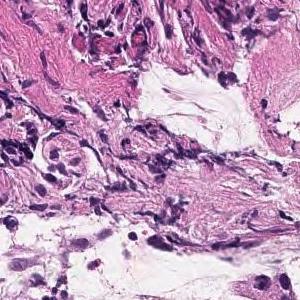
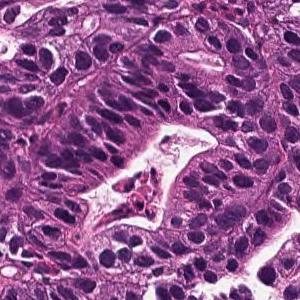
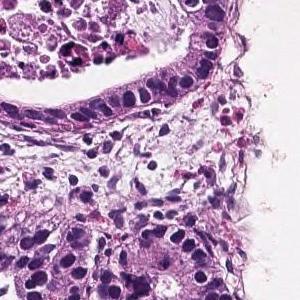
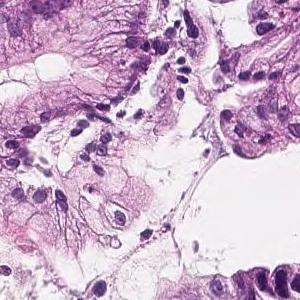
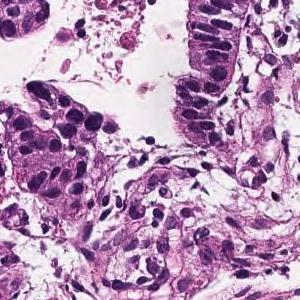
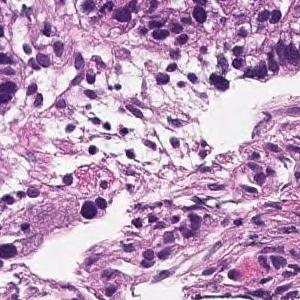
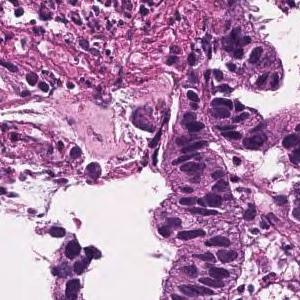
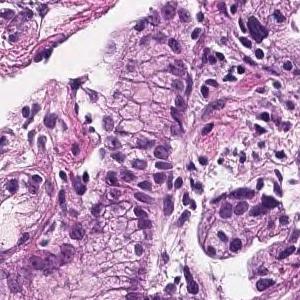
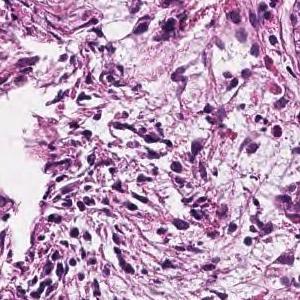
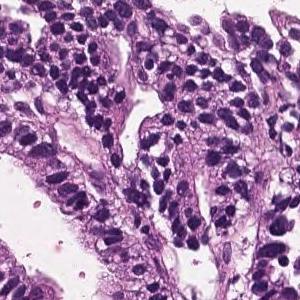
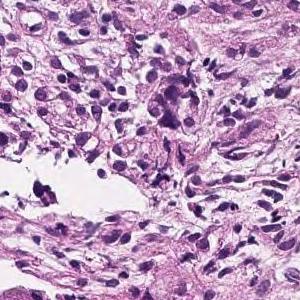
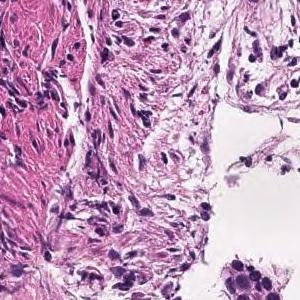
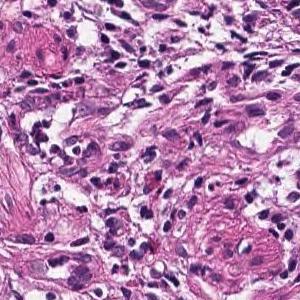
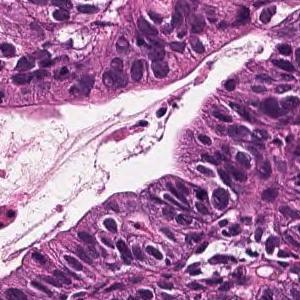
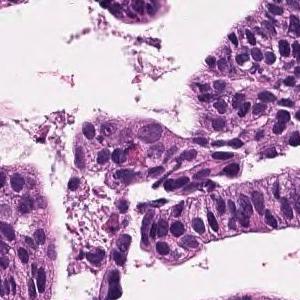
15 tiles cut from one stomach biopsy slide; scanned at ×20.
Diagnostic report for the slide these tiles come from. The report describes the whole slide, diagnosis included: not every finding it names need appear in these tiles, which may also show non-tumor tissue.
On the superficial epithelium, tumor tissue consisting of large, irregular glandular ducts partially fused and infiltrated is observed. Well to moderately differentiated tubular adenocarcinoma (well differentiated tubular adenocarcinoma, moderately differentiated tubular adenocarcinoma)
Histologic type: Well to moderately differentiated tubular adenocarcinoma.
